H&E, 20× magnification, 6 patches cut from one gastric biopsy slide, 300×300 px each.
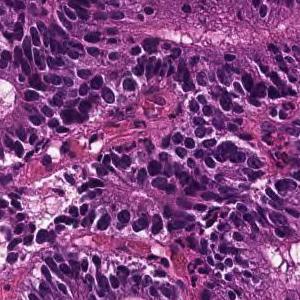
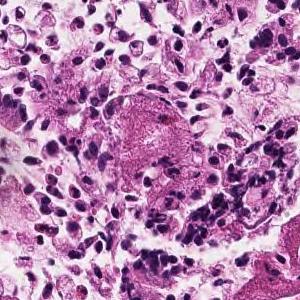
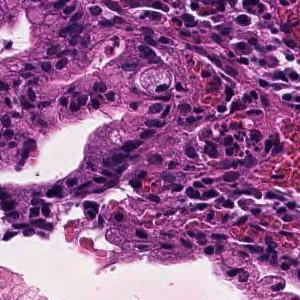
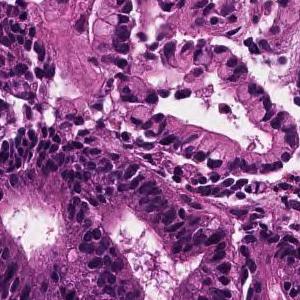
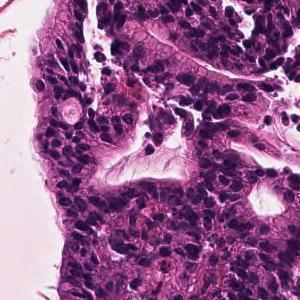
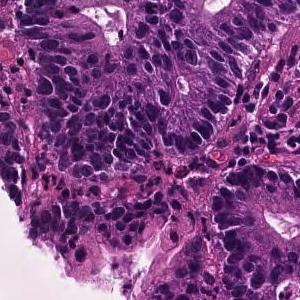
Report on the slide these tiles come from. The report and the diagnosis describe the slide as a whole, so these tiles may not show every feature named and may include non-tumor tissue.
In the superficial epithelium, tumor tissue that invades by forming medium-sized to small, irregular ducts is observed. moderately differentiated tubular adenocarcinoma.
